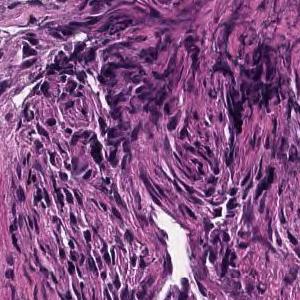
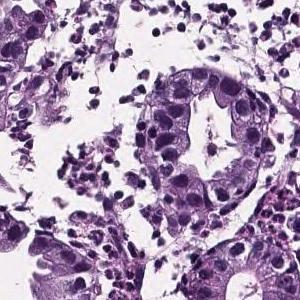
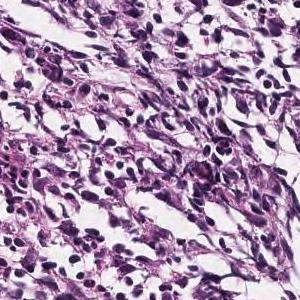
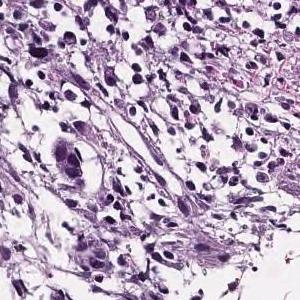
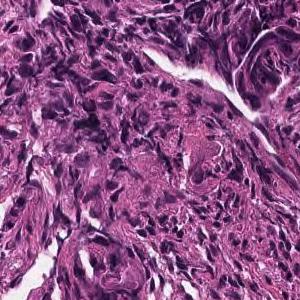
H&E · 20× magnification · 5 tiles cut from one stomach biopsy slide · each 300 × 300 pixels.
Report on the slide these tiles come from. The report and the diagnosis cover the entire slide, so not every feature they name need be visible here, and some tissue shown may not be tumor.
In the superficial epithelium, tumor tissue that invades by forming medium-sized to small, irregular ducts is observed. moderately differentiated tubular adenocarcinoma.
